H&E stain · scanned at ×20 · 6 tiles from the same stomach biopsy slide · 300 × 300 pixels each.
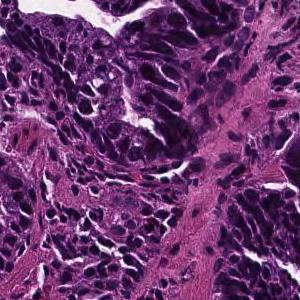
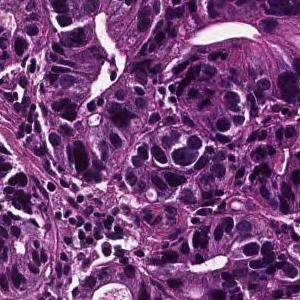
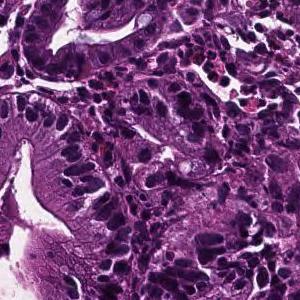
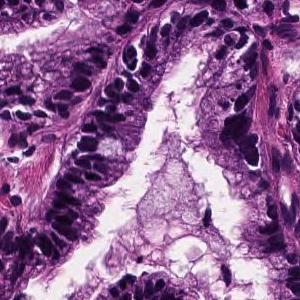
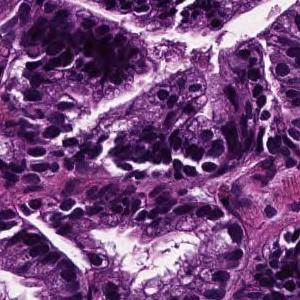
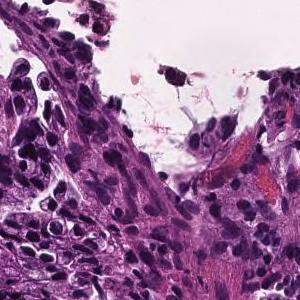
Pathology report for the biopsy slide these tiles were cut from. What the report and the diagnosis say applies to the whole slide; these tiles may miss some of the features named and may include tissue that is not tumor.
In the superficial epithelium, tumor tissue that invades by forming medium-sized to small, irregular ducts is observed. Well differentiated tubular adenocarcinoma.
